×20 · H&E stain · 6 patches cut from one gastric biopsy slide.
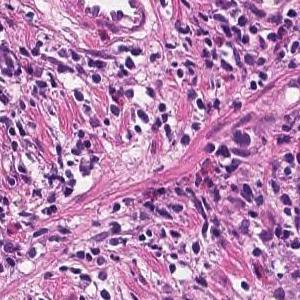
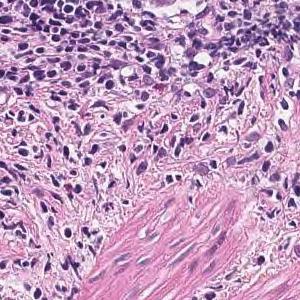
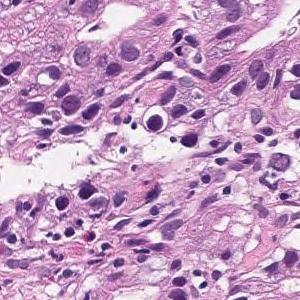
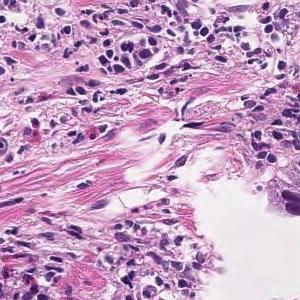
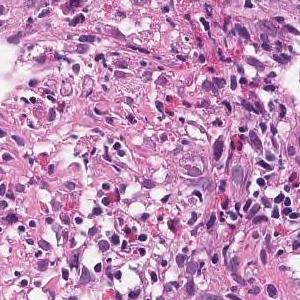
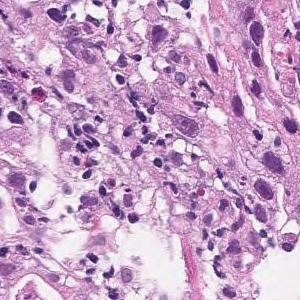
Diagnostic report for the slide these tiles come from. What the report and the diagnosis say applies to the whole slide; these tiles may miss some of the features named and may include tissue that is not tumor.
In the superficial epithelium, tumor tissue that invades by forming medium-sized to small, irregular ducts is observed. moderately differentiated tubular adenocarcinoma.
